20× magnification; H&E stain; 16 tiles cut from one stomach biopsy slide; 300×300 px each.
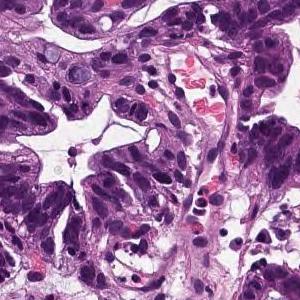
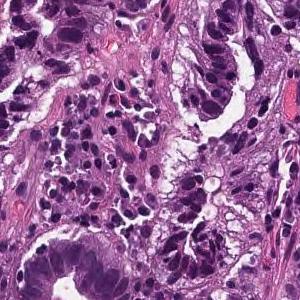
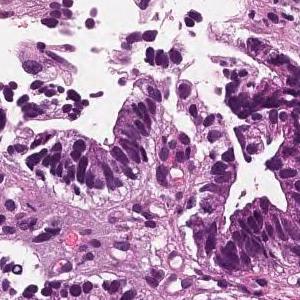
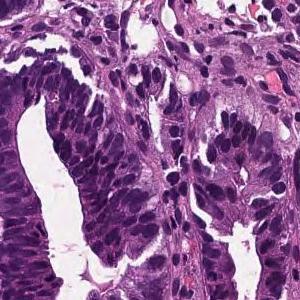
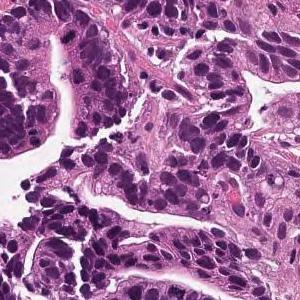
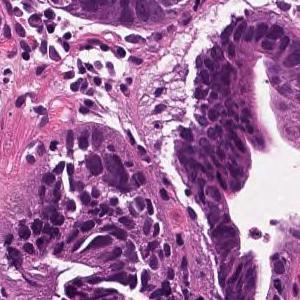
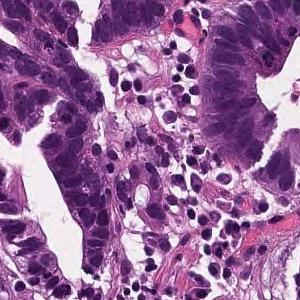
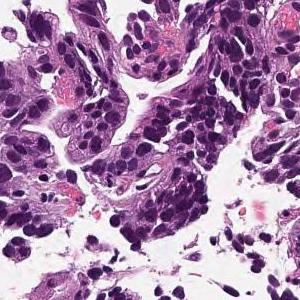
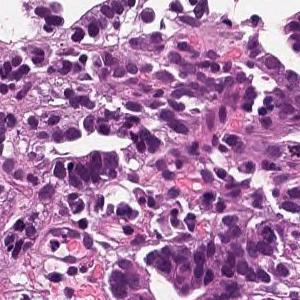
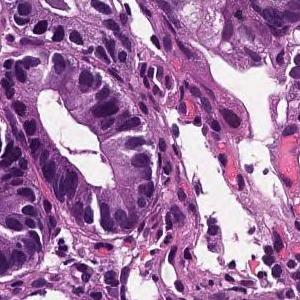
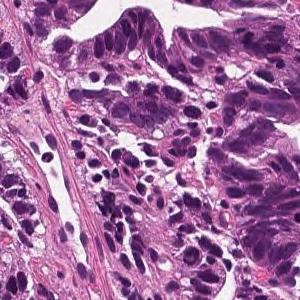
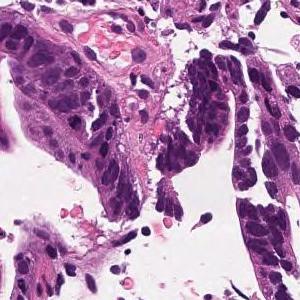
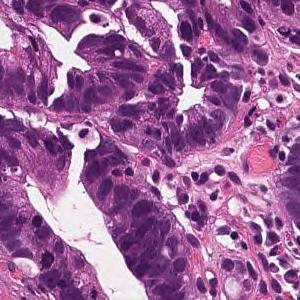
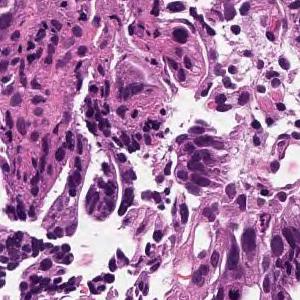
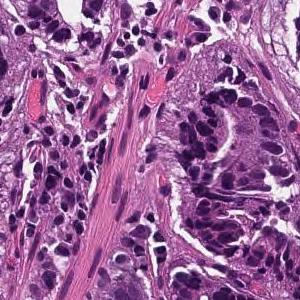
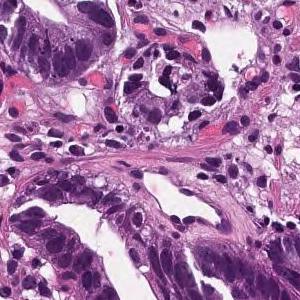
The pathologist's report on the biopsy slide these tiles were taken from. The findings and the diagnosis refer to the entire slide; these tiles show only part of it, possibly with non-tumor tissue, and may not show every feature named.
From the superficial epithelium to the muscularis mucosae, tumor tissue consisting of medium-sized and irregular glandular ducts infiltrating is observed. Well differentiated tubular adenocarcinoma
